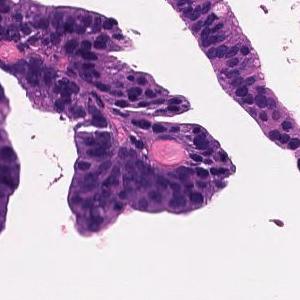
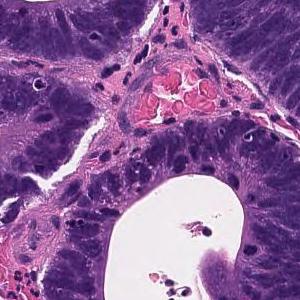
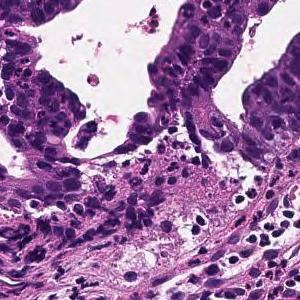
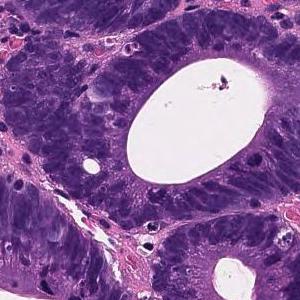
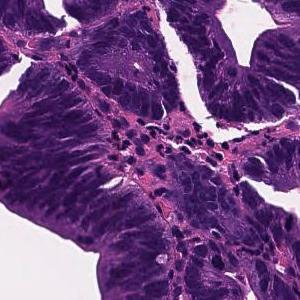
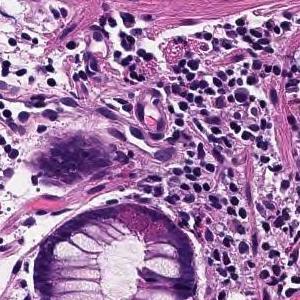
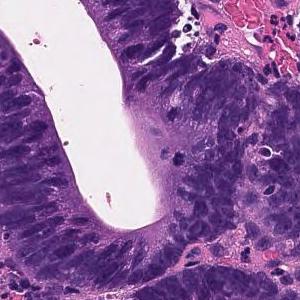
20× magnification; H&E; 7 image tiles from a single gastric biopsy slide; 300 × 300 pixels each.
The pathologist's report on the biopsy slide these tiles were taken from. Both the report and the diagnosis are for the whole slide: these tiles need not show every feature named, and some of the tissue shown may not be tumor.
Tumor tissue consisting of large papillary structures is found in the superficial epithelium. Papillary adenocarcinoma.
